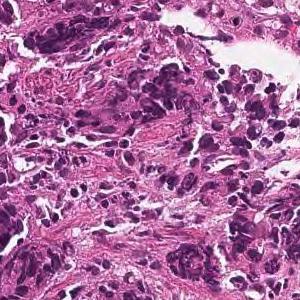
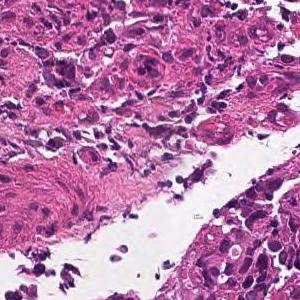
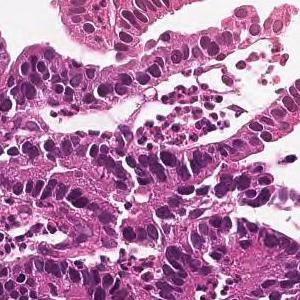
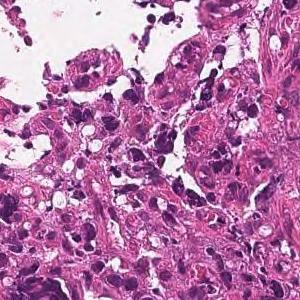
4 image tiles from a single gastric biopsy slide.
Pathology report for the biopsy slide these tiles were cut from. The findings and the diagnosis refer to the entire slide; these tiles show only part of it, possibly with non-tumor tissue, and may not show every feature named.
Tumor tissue consisting of medium-sized, cord-like or irregular glandular infiltration is observed in the superficial epithelium. Poorly differentiated adenocarcinoma, non-solid type or moderately differentiated tubular adenocarcinoma
Histological subtype: Moderately to poorly differentiated adenocarcinoma.
"Non-solid type" is a category of the Japanese Classification of Gastric Carcinoma.
